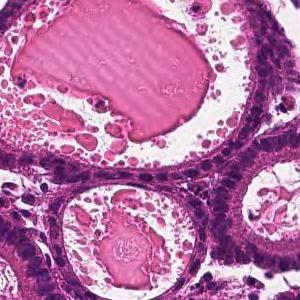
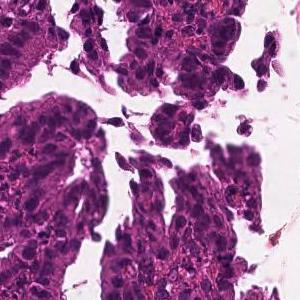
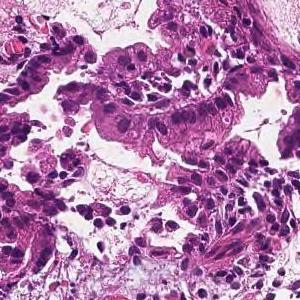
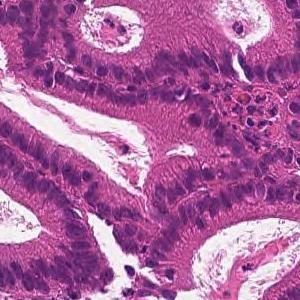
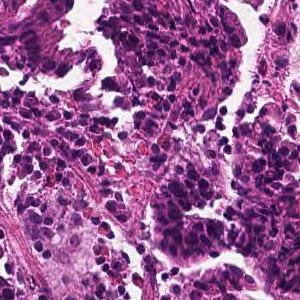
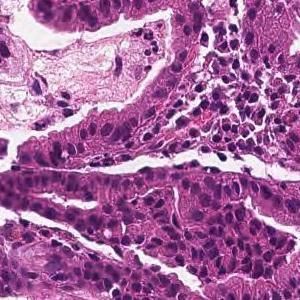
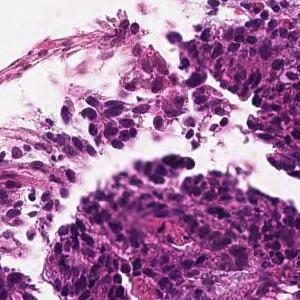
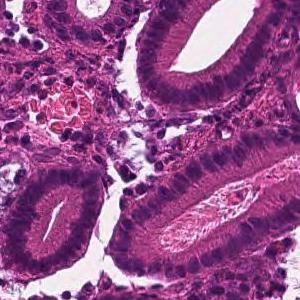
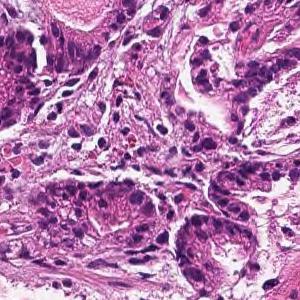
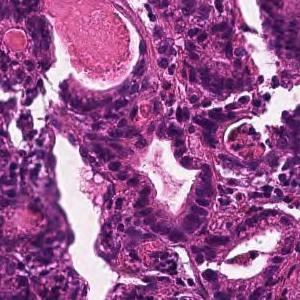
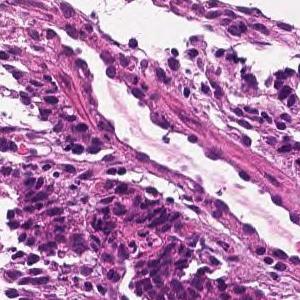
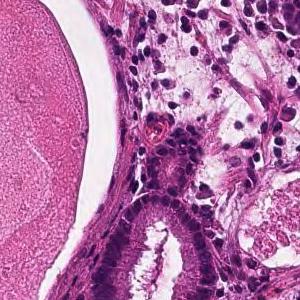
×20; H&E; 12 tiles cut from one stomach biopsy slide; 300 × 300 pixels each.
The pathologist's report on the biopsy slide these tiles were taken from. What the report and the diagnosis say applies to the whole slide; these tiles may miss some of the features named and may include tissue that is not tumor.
From the superficial epithelium to the muscularis mucosae, tumor tissue consisting of medium-sized and irregular glandular ducts infiltrating is observed. Well differentiated tubular adenocarcinoma
